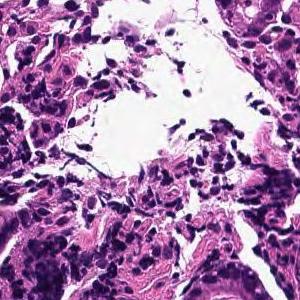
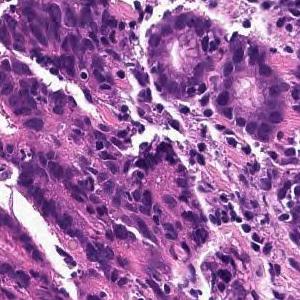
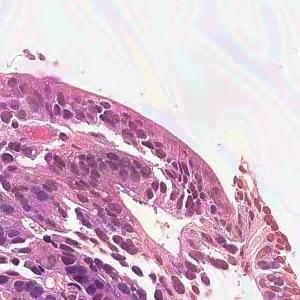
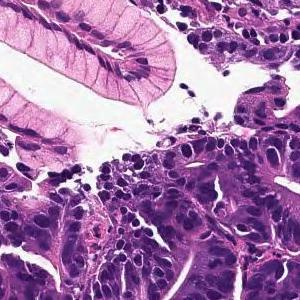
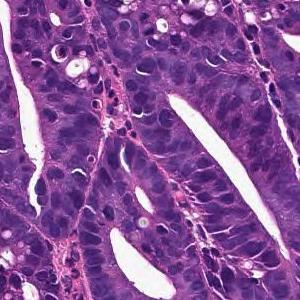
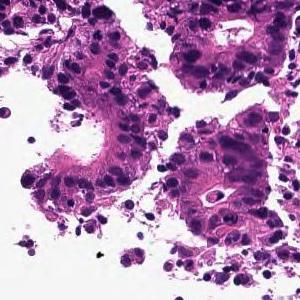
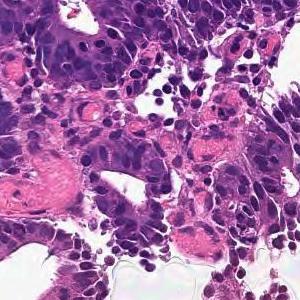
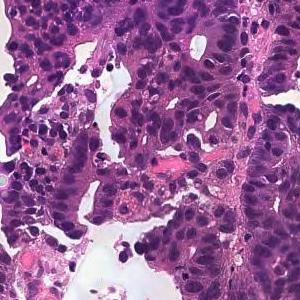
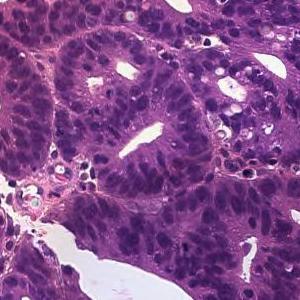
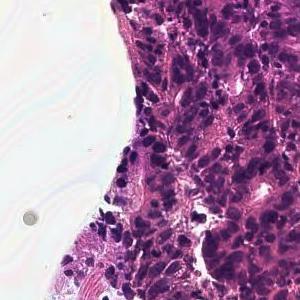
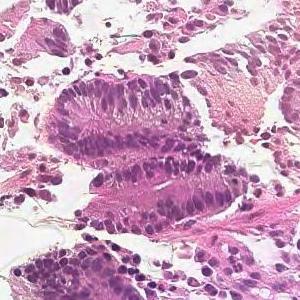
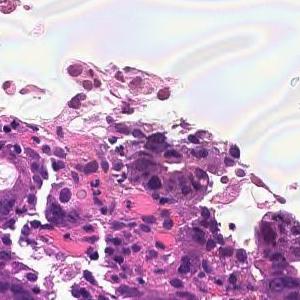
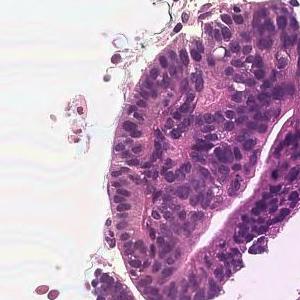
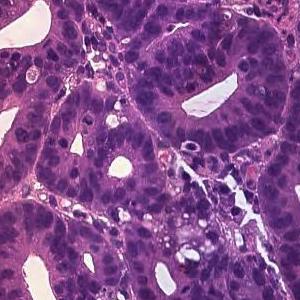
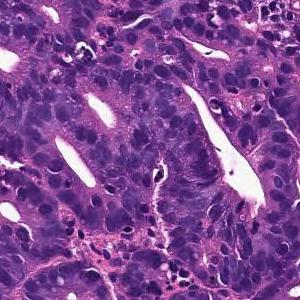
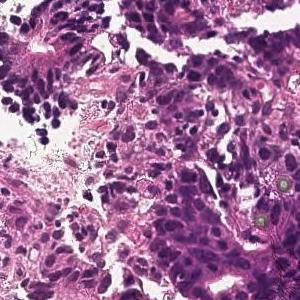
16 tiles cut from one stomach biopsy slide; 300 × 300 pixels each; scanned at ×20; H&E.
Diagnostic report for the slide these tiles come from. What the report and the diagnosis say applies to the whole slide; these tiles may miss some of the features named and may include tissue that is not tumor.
On the superficial epithelium, tumor tissue consisting of large irregular glandular ducts partially fused and infiltrated is observed. Well to moderately differentiated tubular adenocarcinoma (well differentiated tubular adenocarcinoma, moderately differentiated tubular adenocarcinoma)
Histological subtype: Well to moderately differentiated tubular adenocarcinoma.
